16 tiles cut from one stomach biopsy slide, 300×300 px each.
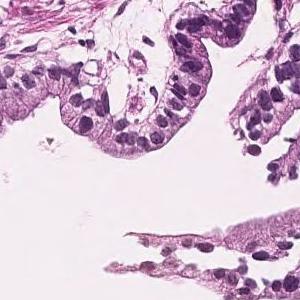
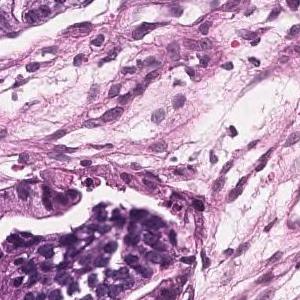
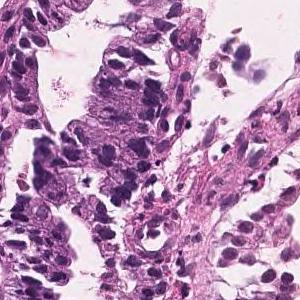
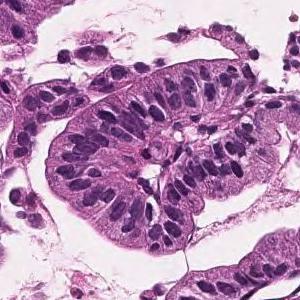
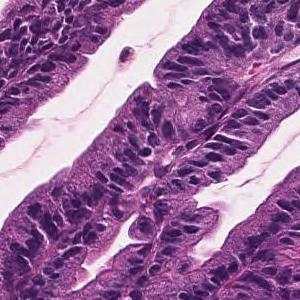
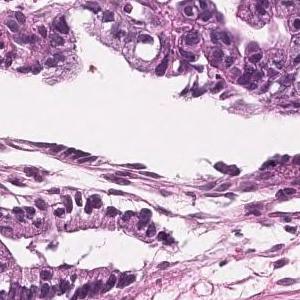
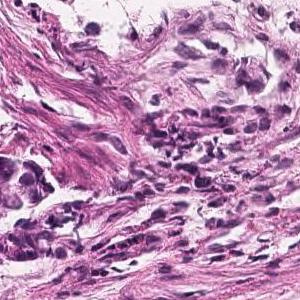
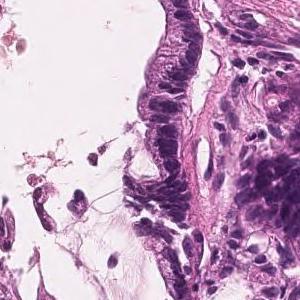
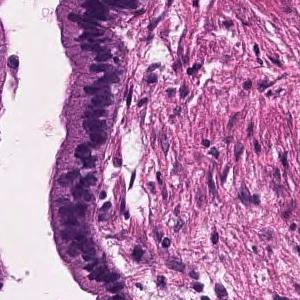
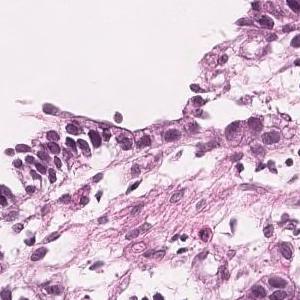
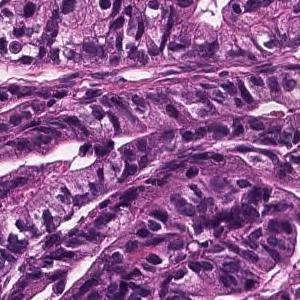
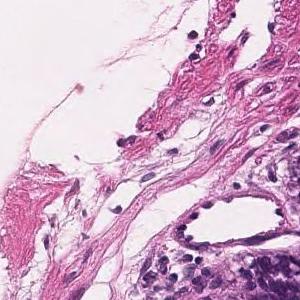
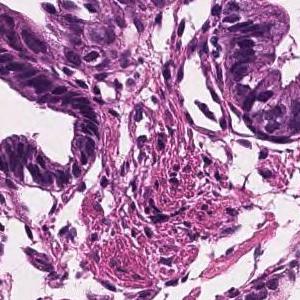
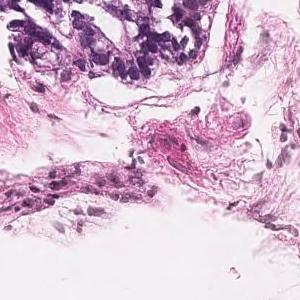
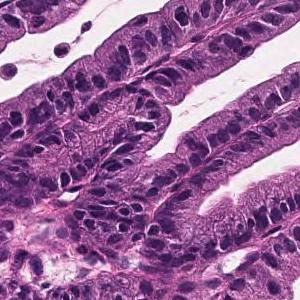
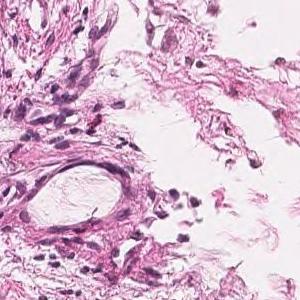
Pathology report for the biopsy slide these tiles were cut from. The report and the diagnosis describe the slide as a whole, so these tiles may not show every feature named and may include non-tumor tissue.
Tumor cells are large, highly columnar, large club-shaped nuclei, and are associated with chromatin aggregation. Papillary adenocarcinoma.
